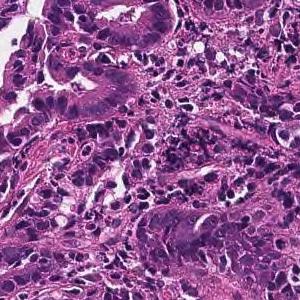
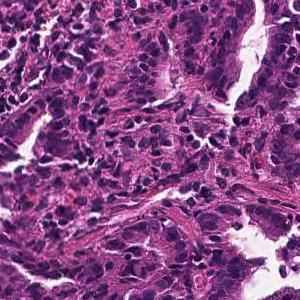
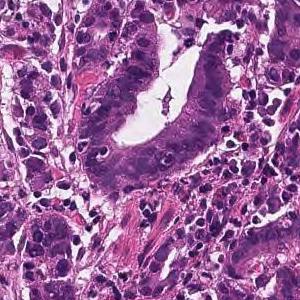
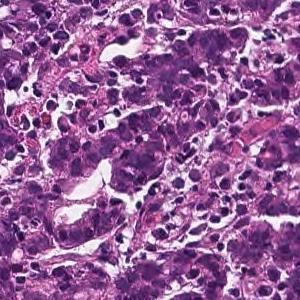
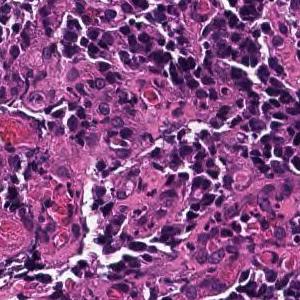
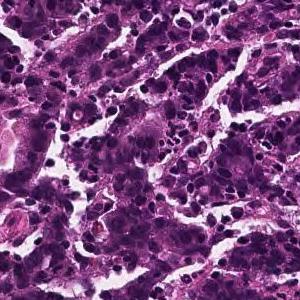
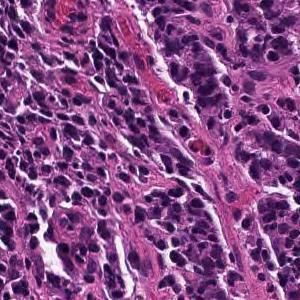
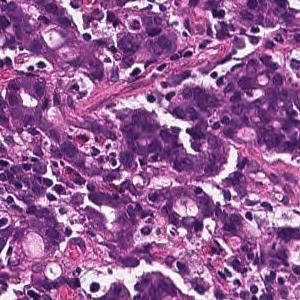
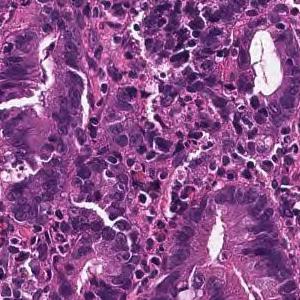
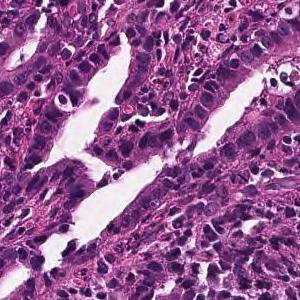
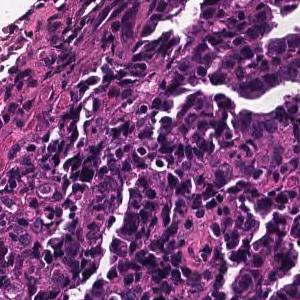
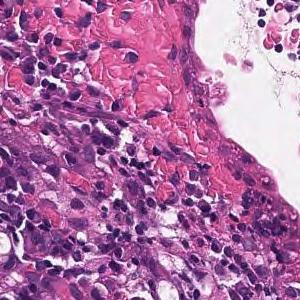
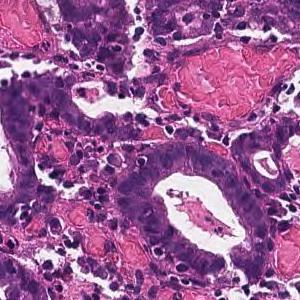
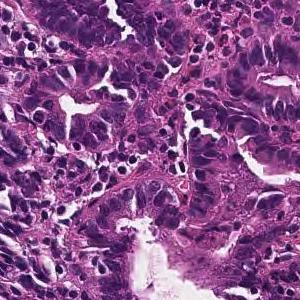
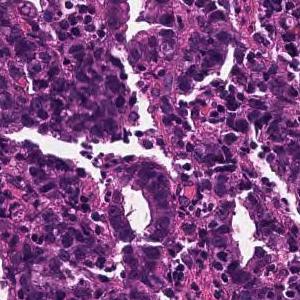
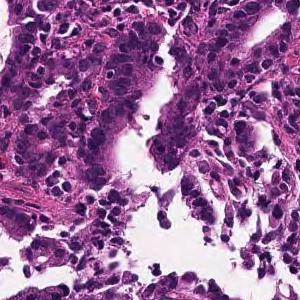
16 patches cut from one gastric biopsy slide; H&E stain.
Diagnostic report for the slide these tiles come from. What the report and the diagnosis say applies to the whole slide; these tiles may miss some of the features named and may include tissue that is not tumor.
In the superficial epithelium, tumor tissue that invades by forming medium-sized to small, irregular ducts is observed. moderately differentiated tubular adenocarcinoma.
